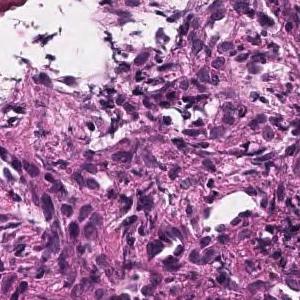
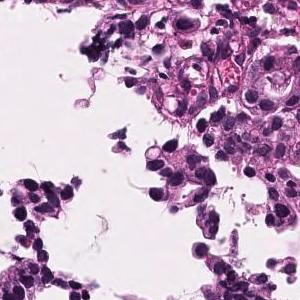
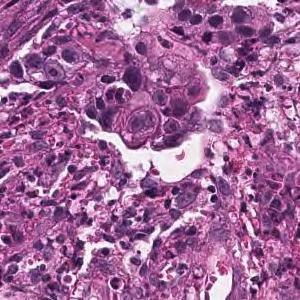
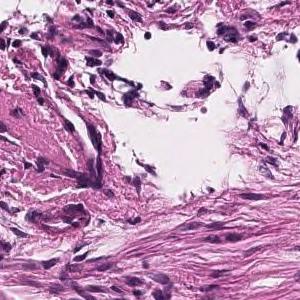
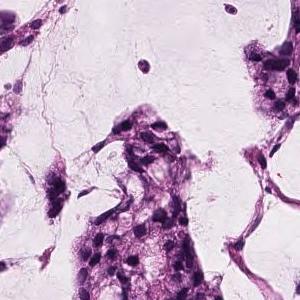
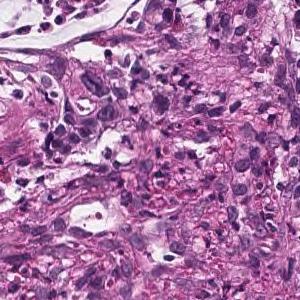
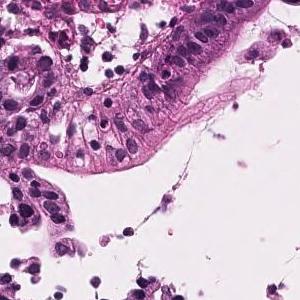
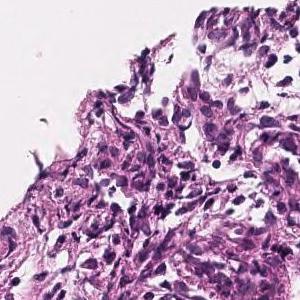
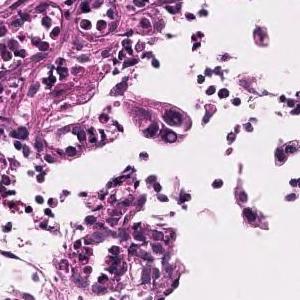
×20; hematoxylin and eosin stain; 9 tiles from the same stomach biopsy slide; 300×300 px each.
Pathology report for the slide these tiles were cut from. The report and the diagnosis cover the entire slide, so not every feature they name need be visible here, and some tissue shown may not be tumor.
Atypical epithelial cells form obscure ductal structures or small solid follicles, and tumor tissue that proliferates invasively with proliferation of inflammatory granulation tissue is observed. Mucinous adenocarcinoma .
